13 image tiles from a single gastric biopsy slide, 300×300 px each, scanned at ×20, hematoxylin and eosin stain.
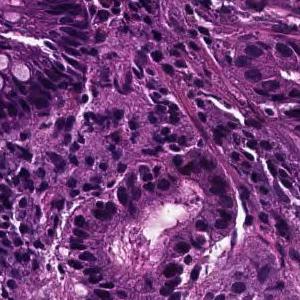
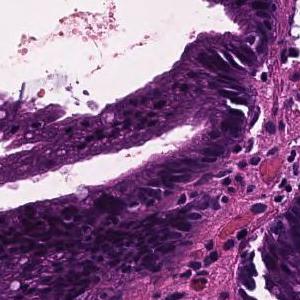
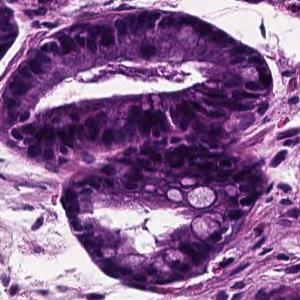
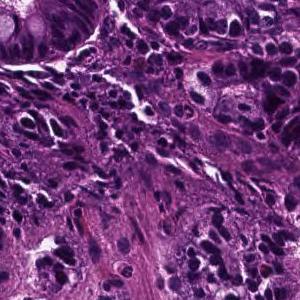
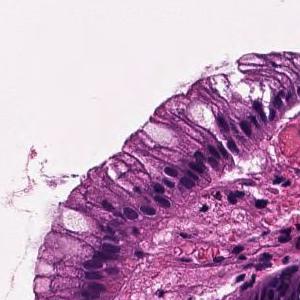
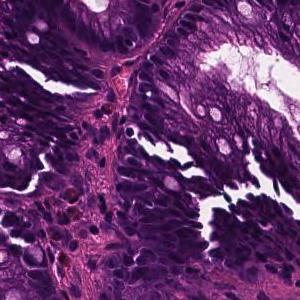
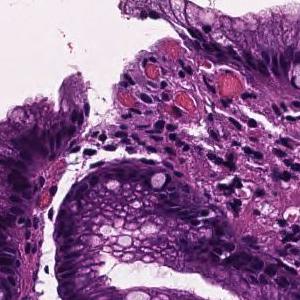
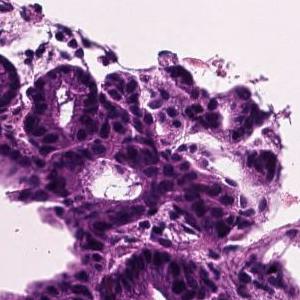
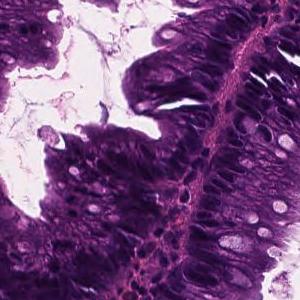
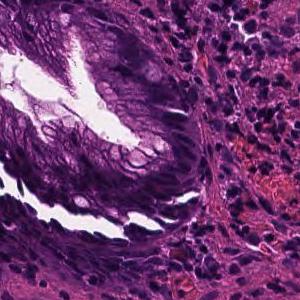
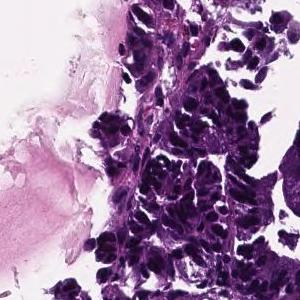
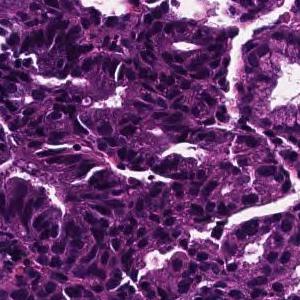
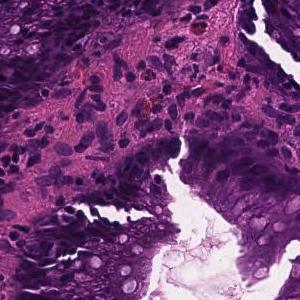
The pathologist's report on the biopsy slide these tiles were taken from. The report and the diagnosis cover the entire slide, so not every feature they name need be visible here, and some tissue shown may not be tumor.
In the superficial epithelium, tumor tissue that invades by forming medium-sized to small, irregular ducts is observed. Well differentiated tubular adenocarcinoma.
